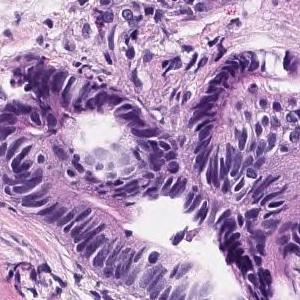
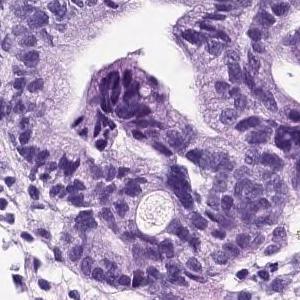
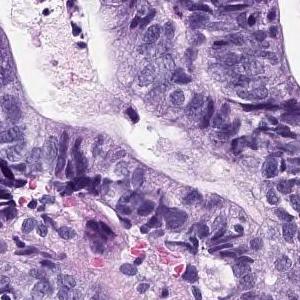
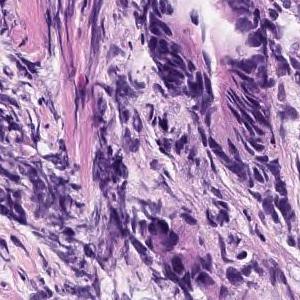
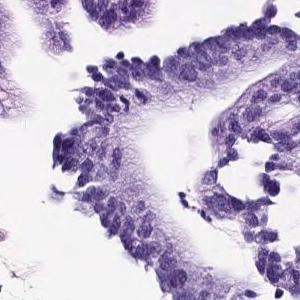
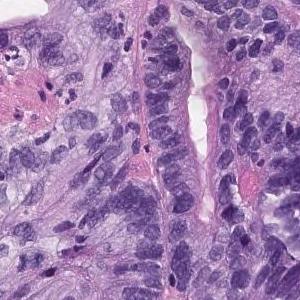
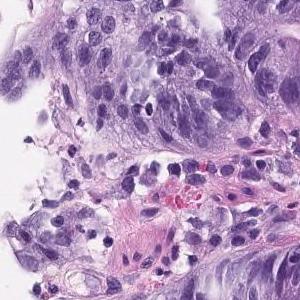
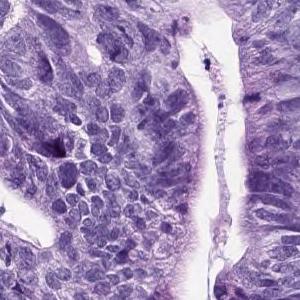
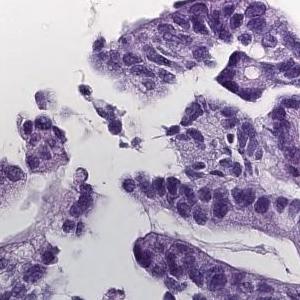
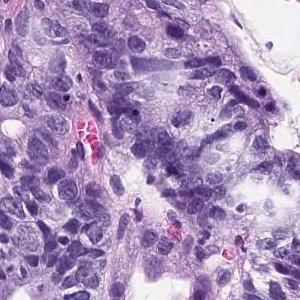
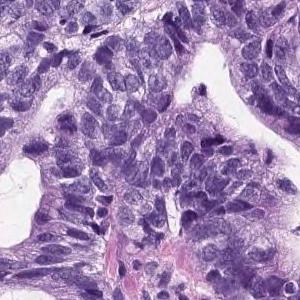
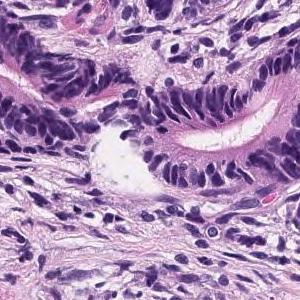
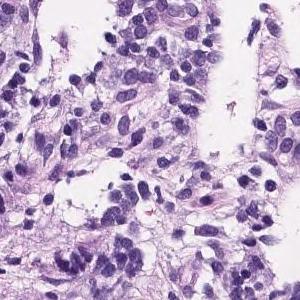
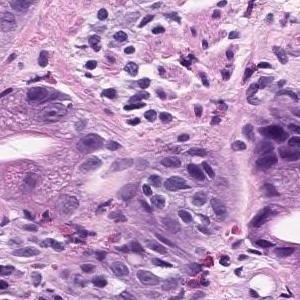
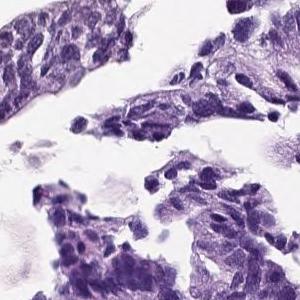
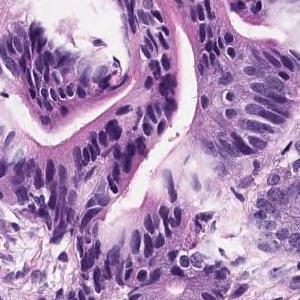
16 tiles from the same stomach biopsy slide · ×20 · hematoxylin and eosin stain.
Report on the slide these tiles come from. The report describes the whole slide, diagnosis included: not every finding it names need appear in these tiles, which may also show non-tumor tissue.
On the superficial epithelium, tumor tissue consisting of medium-sized to large-sized, round or irregular glandular duct growth images is observed. Well differentiated adenocarcinoma.
Histologic type: Well differentiated tubular adenocarcinoma.
